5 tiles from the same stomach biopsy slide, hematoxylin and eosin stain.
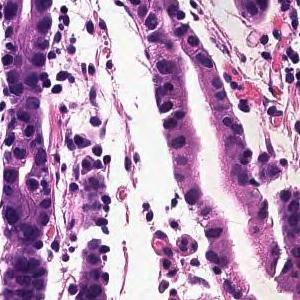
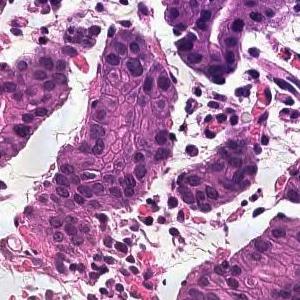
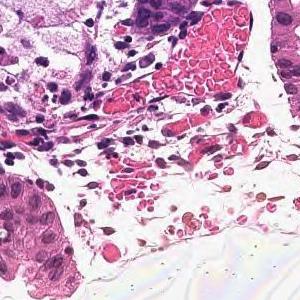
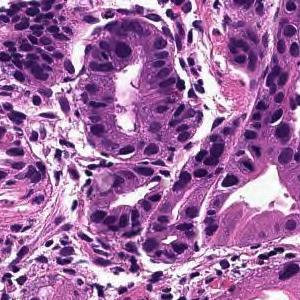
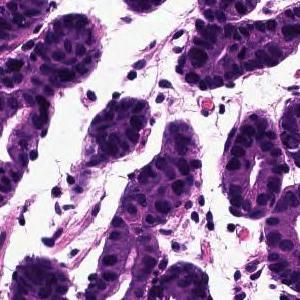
Report on the slide these tiles come from. The report and the diagnosis cover the entire slide, so not every feature they name need be visible here, and some tissue shown may not be tumor.
From the superficial epithelium to the muscularis mucosae, tumor tissue consisting of medium-sized and irregular glandular ducts infiltrating is observed. Well differentiated tubular adenocarcinoma
